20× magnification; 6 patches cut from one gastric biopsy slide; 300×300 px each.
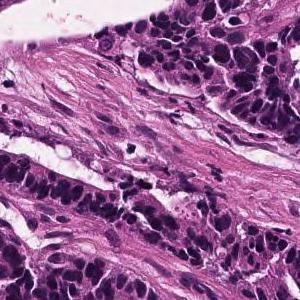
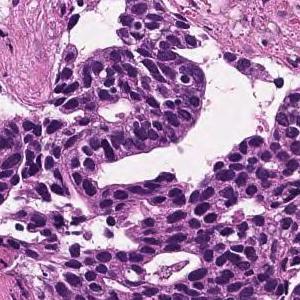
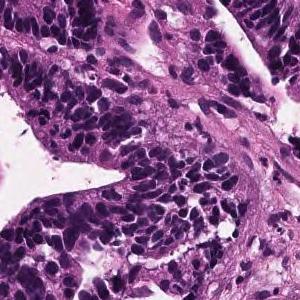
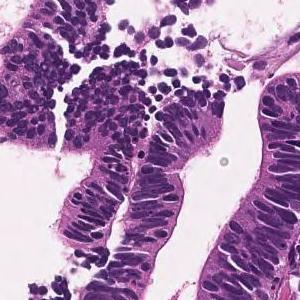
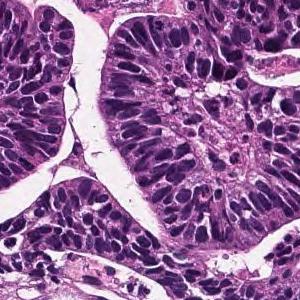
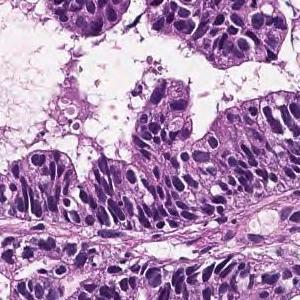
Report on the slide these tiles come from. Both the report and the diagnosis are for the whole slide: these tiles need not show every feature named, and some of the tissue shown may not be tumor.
In the superficial epithelium, tumor tissue that invades by forming medium-sized to small, irregular ducts is observed. Well differentiated tubular adenocarcinoma.
